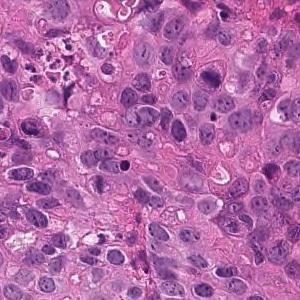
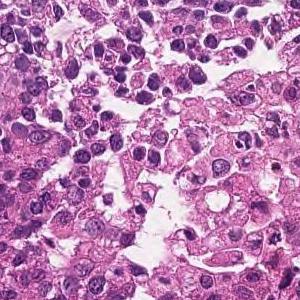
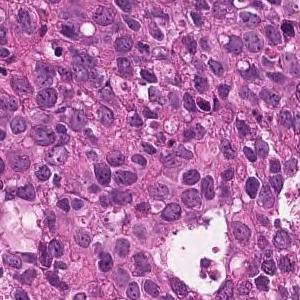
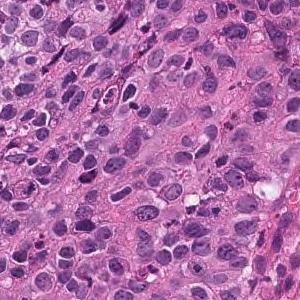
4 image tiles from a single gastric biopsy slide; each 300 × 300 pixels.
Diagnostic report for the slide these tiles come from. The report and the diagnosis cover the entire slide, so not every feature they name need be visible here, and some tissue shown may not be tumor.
The superficial epithelium shows a large sheet-like shape, and some tumor tissue infiltrates with small irregular ducts. Poorly differentiated adenocarcinoma, solid-type
Histological subtype: Poorly differentiated adenocarcinoma, solid type (Japanese Classification of Gastric Carcinoma). The WHO 2019 equivalent is tubular adenocarcinoma, poorly differentiated.
